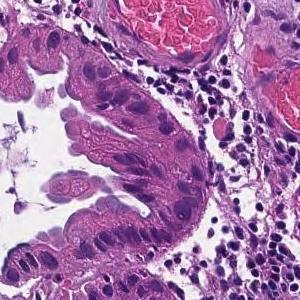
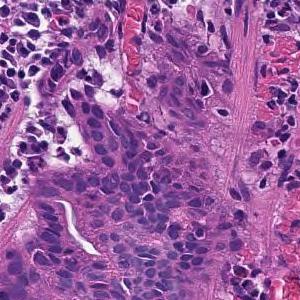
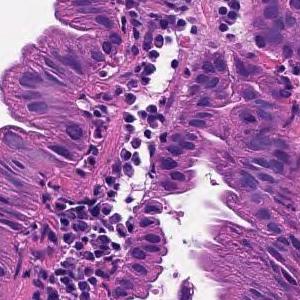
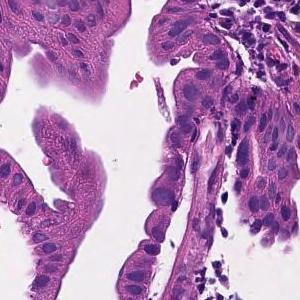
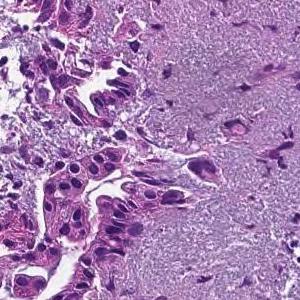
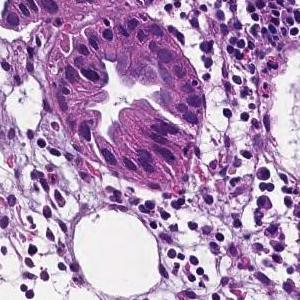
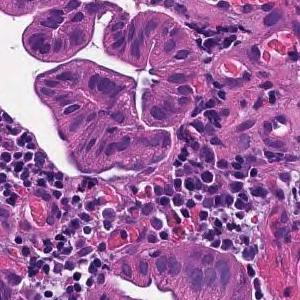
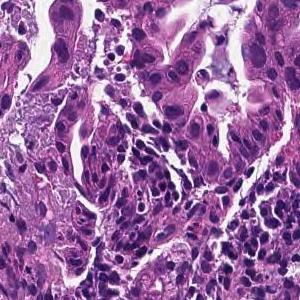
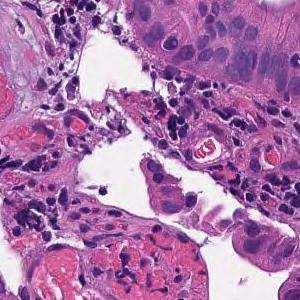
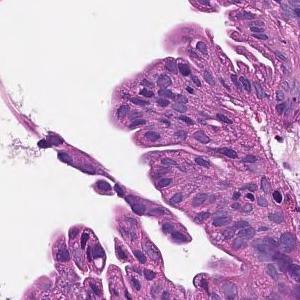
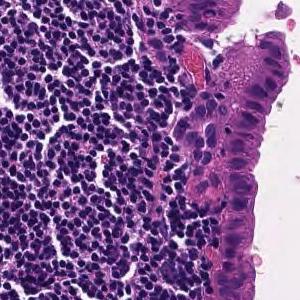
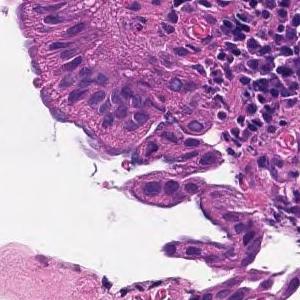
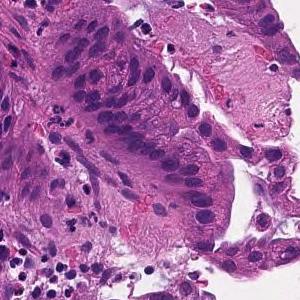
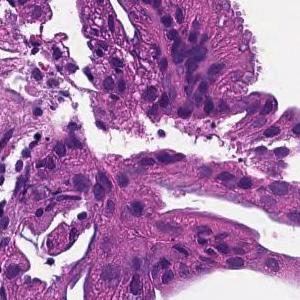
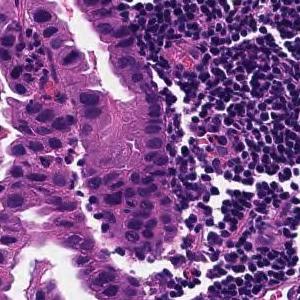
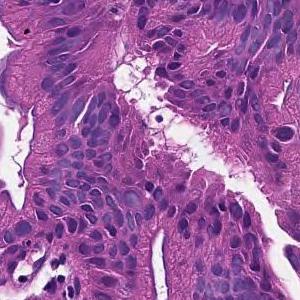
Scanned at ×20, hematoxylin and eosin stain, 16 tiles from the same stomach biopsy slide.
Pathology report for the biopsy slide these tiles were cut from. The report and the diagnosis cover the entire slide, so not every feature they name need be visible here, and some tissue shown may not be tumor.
On the superficial epithelium, tumor tissue that infiltrates by forming medium-sized papillary or small irregular ducts is observed. Papillary adenocarcinoma
